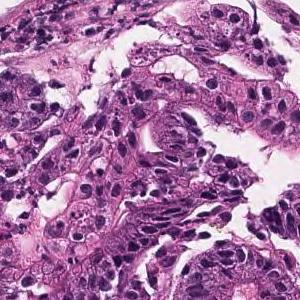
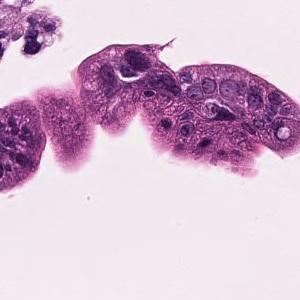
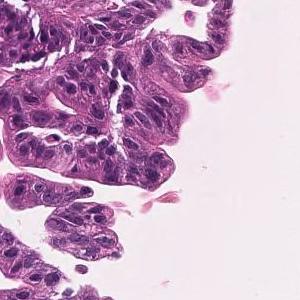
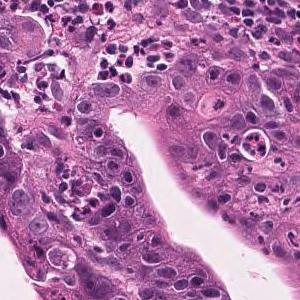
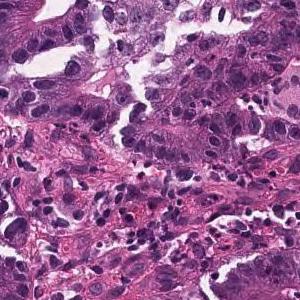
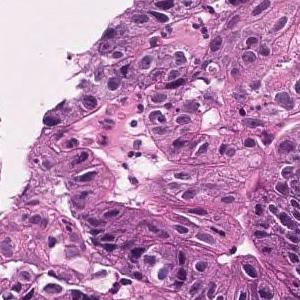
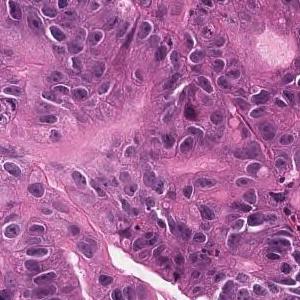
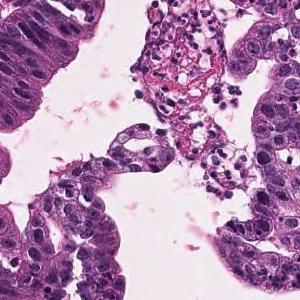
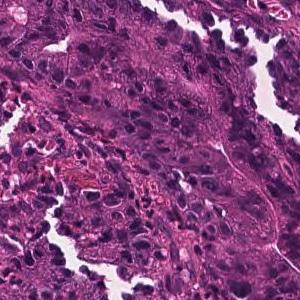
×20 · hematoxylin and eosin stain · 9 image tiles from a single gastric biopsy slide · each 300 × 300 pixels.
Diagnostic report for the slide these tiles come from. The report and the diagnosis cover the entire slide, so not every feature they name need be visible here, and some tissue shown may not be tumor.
In the superficial epithelium, tumor tissue that invades by forming medium-sized to small, irregular ducts is observed. Well differentiated tubular adenocarcinoma.
